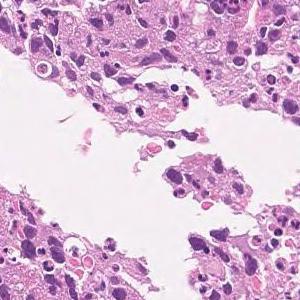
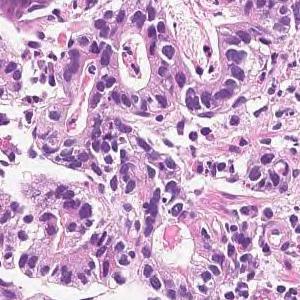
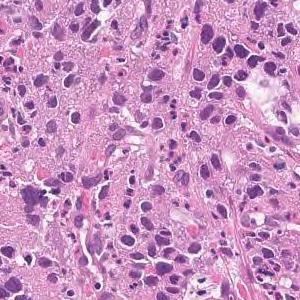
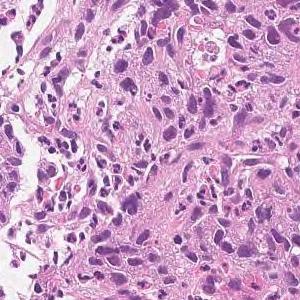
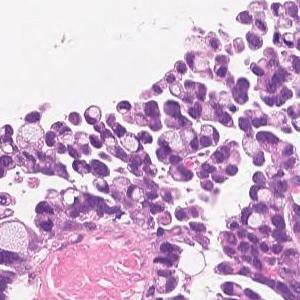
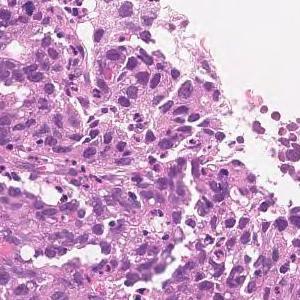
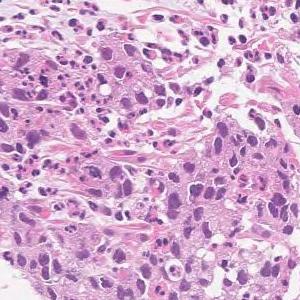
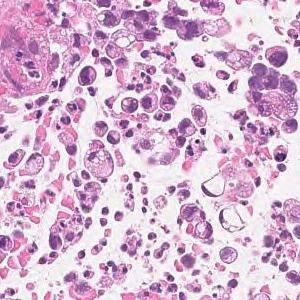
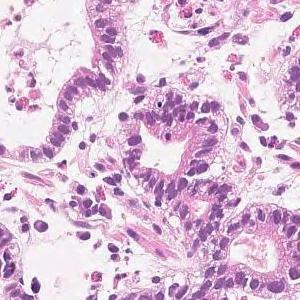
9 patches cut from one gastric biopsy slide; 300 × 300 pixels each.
Pathology report for the slide these tiles were cut from. Both the report and the diagnosis are for the whole slide: these tiles need not show every feature named, and some of the tissue shown may not be tumor.
Medium to small, irregular glandular ducts are formed in the superficial epithelium, and in some cases, the glandular ducts are fused to show solid alveolar lesions and infiltrating tumor tissue is observed. Moderately to poorly differentiated adenocarcinoma.
